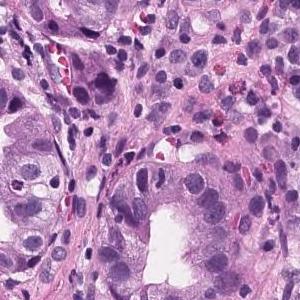
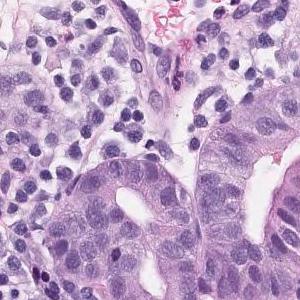
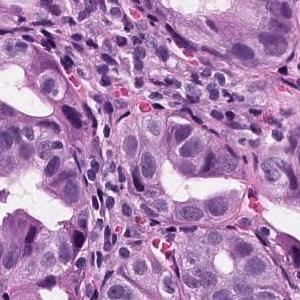
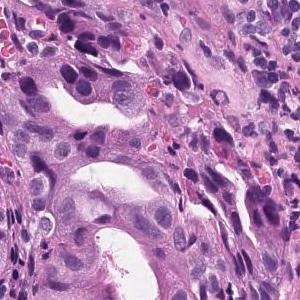
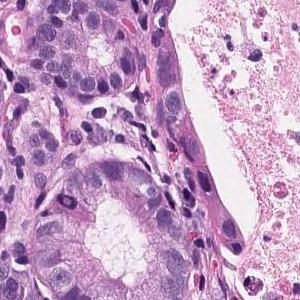
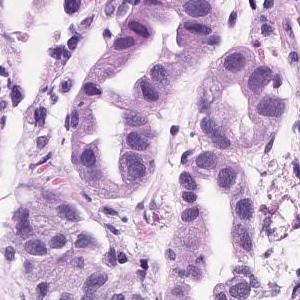
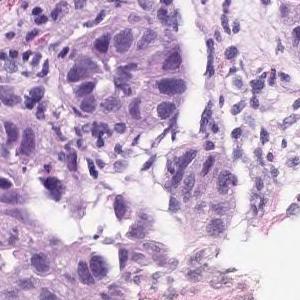
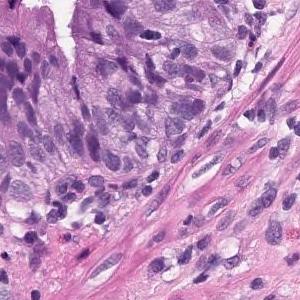
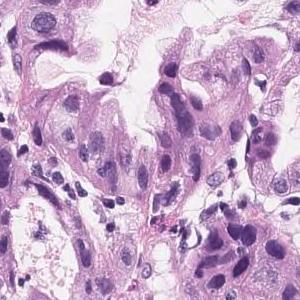
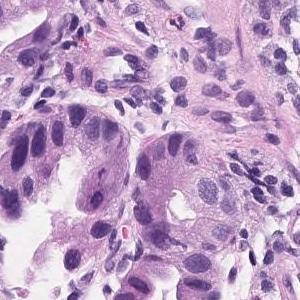
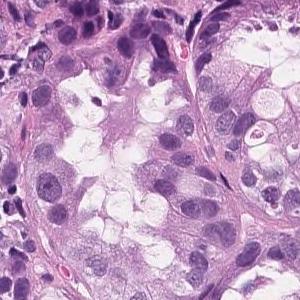
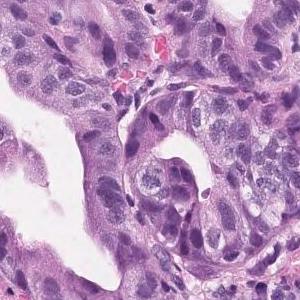
H&E; 12 tiles cut from one stomach biopsy slide.
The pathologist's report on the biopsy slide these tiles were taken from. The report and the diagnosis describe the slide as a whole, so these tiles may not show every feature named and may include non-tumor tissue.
Tumor tissue consisting of medium-sized and irregular ducts is observed infiltrating in the superficial epithelium. Tumor cells are highly columnar, with nuclei aligned basolaterally and polarized. Well differentiated tubular adenocarcinoma.
